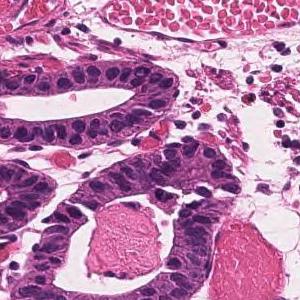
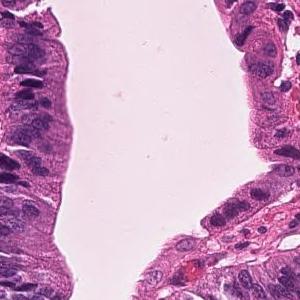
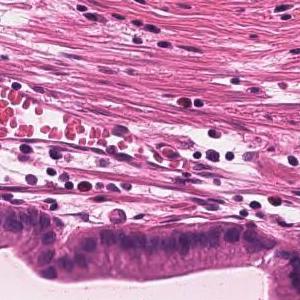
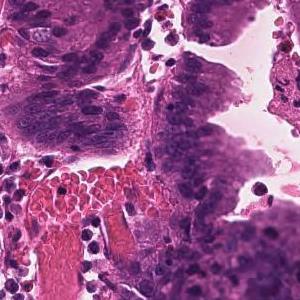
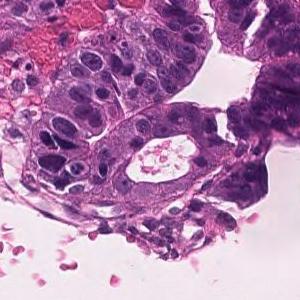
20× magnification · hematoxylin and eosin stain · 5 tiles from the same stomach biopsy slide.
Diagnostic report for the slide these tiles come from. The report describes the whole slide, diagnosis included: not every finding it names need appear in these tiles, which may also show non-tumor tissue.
Infiltrating tumor tissue with medium-sized, irregular ductal structure or large papillary appearance is observed. Well differentiated tubular adenocarcinoma
